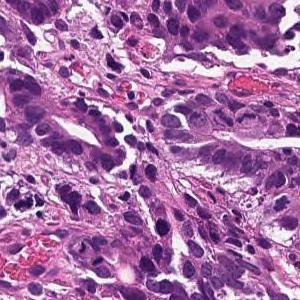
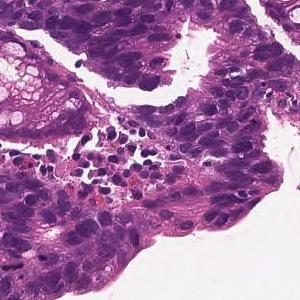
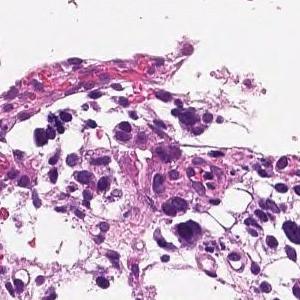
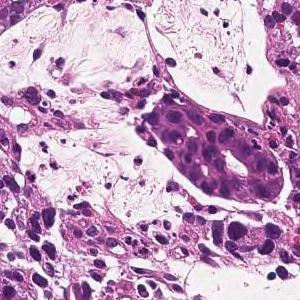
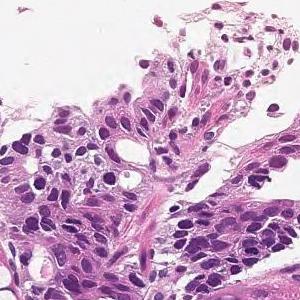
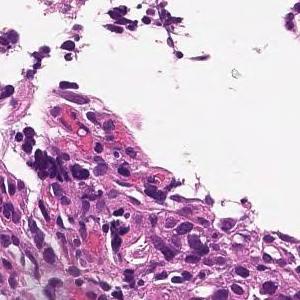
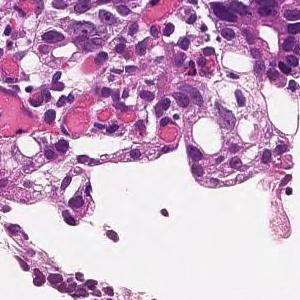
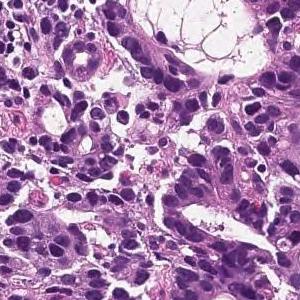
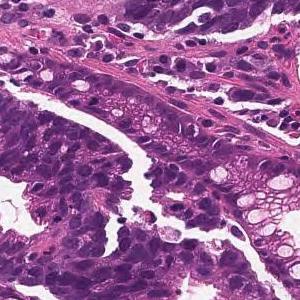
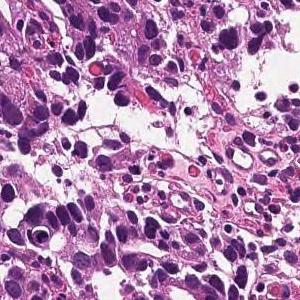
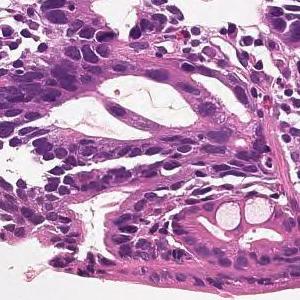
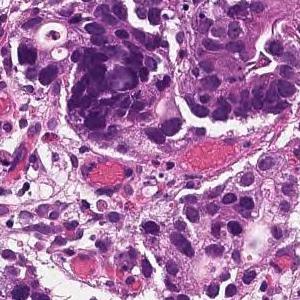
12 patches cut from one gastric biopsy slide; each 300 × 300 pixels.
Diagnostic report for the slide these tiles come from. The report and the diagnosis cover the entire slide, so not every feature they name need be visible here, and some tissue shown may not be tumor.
On the superficial epithelium, tumor tissue is found in which medium-sized irregular gland ducts fuse with each other and infiltrate. moderately differentiated tubular adenocarcinoma
